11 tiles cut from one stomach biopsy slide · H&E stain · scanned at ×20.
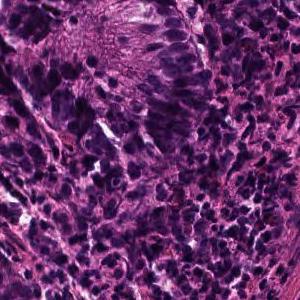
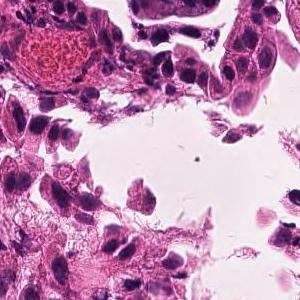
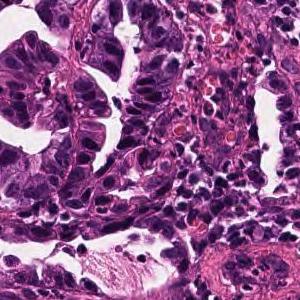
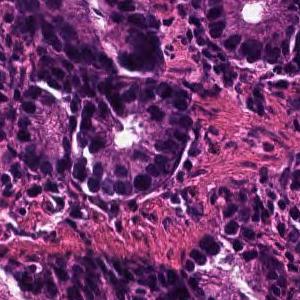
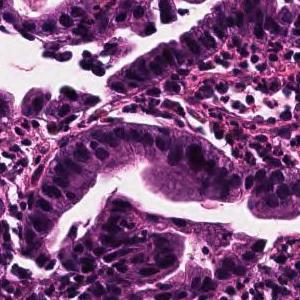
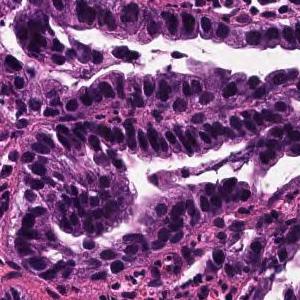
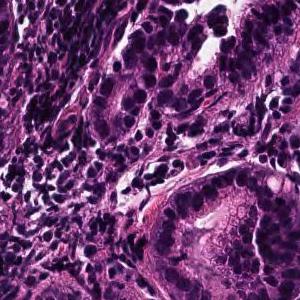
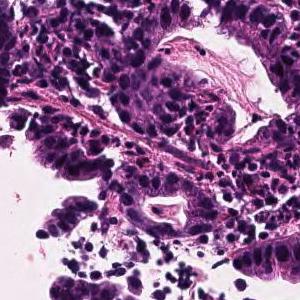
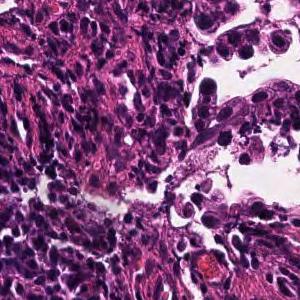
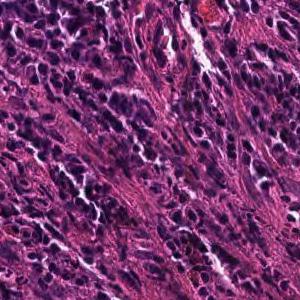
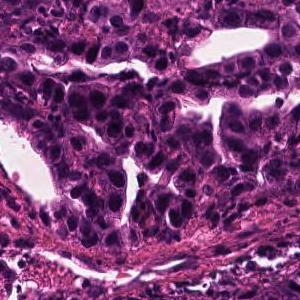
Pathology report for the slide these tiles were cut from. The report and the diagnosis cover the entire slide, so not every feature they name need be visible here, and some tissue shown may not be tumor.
Tumor tissue consisting of large papillary structures is found in the superficial epithelium. Papillary adenocarcinoma.
